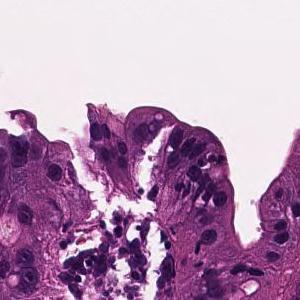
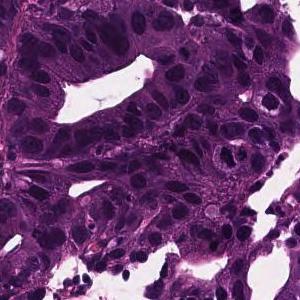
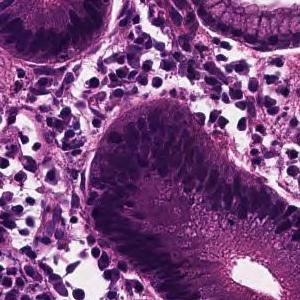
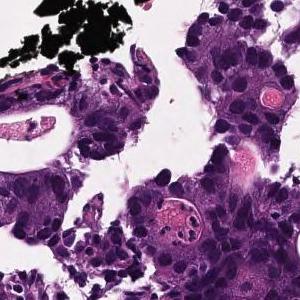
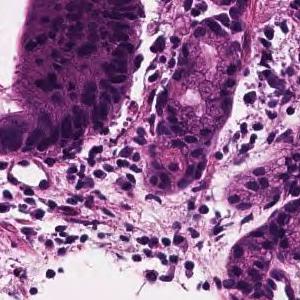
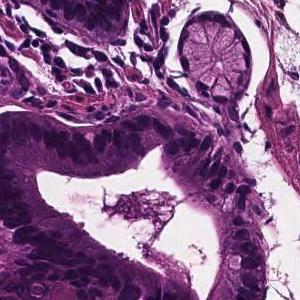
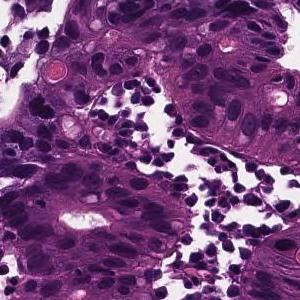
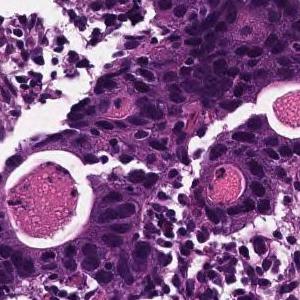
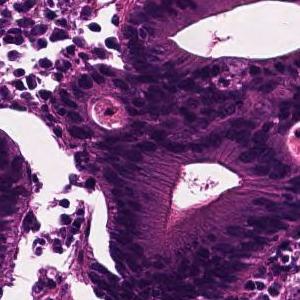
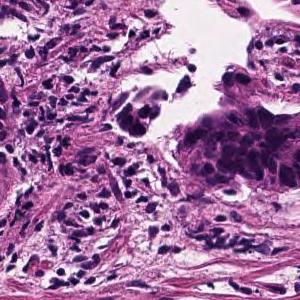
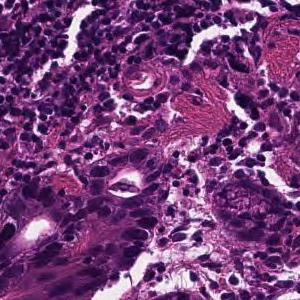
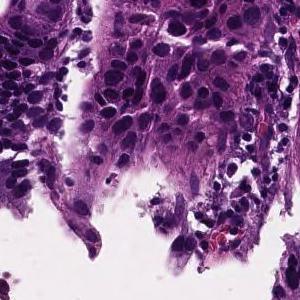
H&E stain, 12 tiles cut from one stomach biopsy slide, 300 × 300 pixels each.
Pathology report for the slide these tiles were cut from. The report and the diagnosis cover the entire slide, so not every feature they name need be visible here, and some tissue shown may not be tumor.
In the superficial epithelium, tumor tissue that invades by forming medium-sized to small, irregular ducts is observed. moderately differentiated tubular adenocarcinoma.
